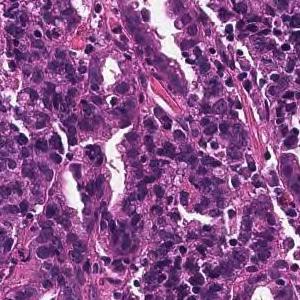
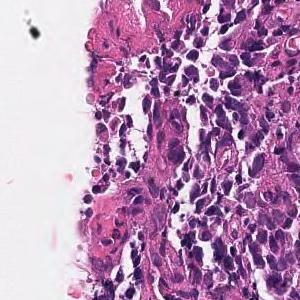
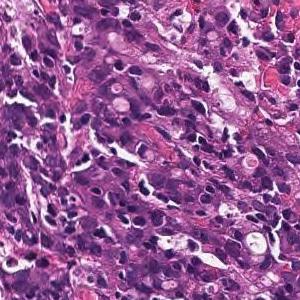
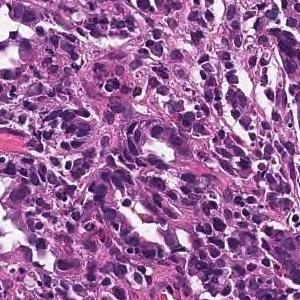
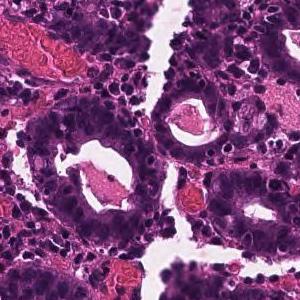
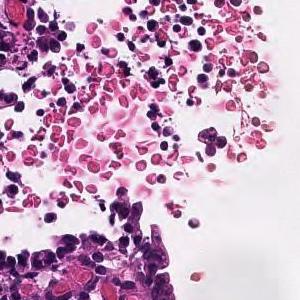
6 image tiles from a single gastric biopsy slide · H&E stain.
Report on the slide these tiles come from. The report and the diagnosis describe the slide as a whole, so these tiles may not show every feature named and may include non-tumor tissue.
In the superficial epithelium, tumor tissue that invades by forming medium-sized to small, irregular ducts is observed. moderately differentiated tubular adenocarcinoma.
